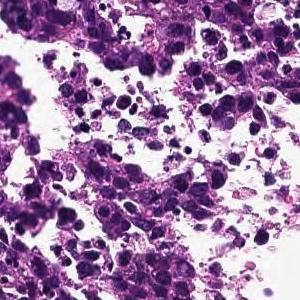
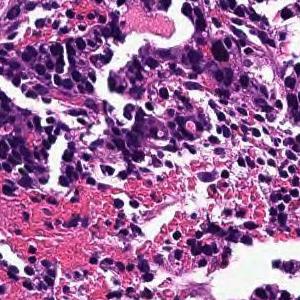
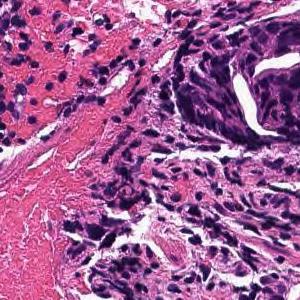
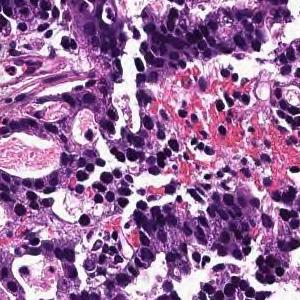
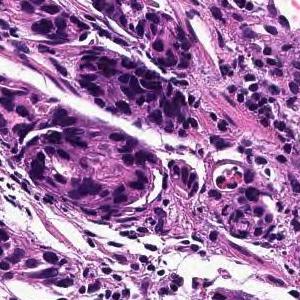
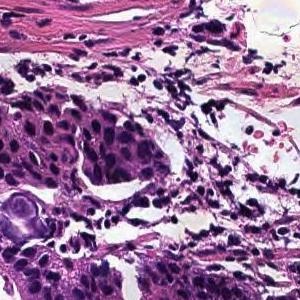
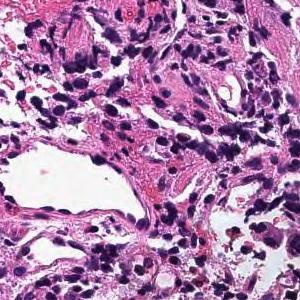
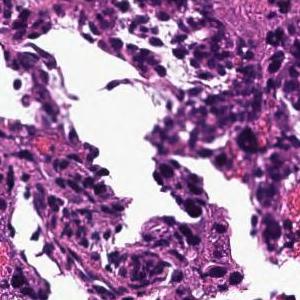
20× magnification; hematoxylin and eosin stain; 8 patches cut from one gastric biopsy slide; 300 × 300 pixels each.
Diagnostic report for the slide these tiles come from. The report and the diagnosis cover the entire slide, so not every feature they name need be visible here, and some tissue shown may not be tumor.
In the superficial epithelium, tumor tissue that invades by forming medium-sized to small, irregular ducts is observed. moderately differentiated tubular adenocarcinoma.
